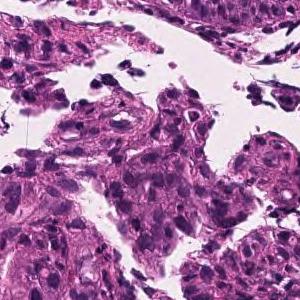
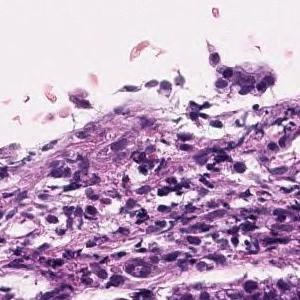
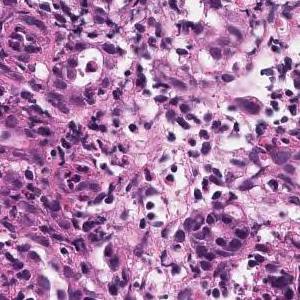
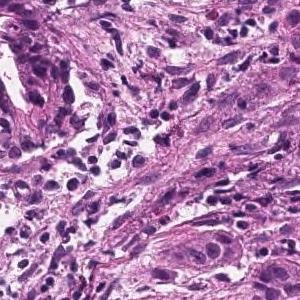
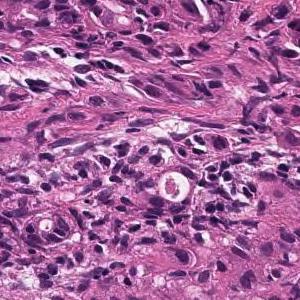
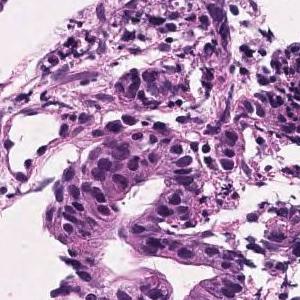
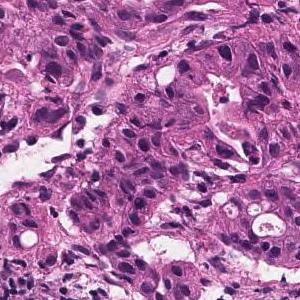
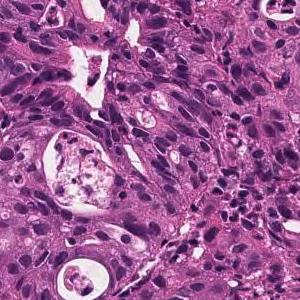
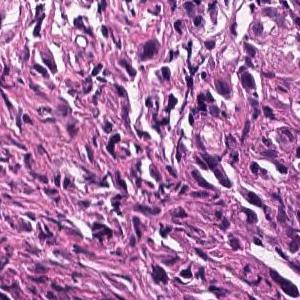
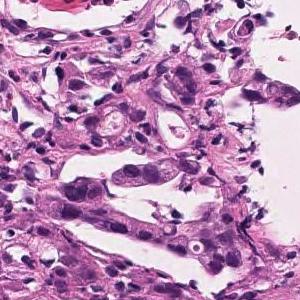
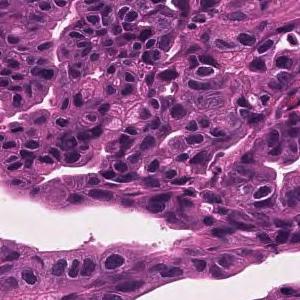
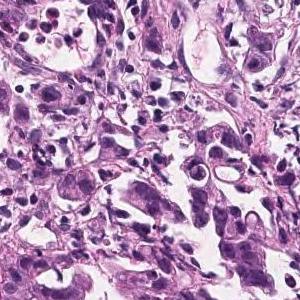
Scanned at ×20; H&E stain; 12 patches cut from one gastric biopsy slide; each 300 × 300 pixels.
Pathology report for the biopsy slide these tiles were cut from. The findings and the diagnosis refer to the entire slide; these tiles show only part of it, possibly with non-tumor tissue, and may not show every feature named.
Tumor tissue consisting of medium-sized, cord-like or irregular glandular infiltration is observed in the superficial epithelium. Poorly differentiated adenocarcinoma, non-solid type or moderately differentiated tubular adenocarcinoma
The term "non-solid type" comes from the Japanese Classification of Gastric Carcinoma.
